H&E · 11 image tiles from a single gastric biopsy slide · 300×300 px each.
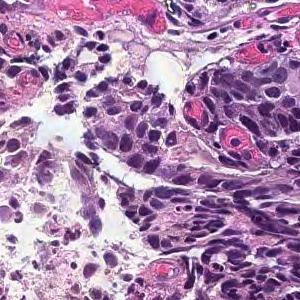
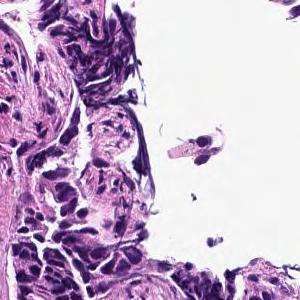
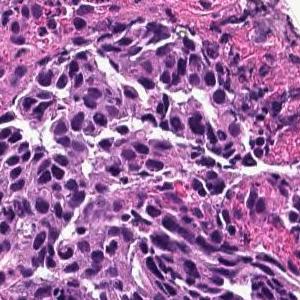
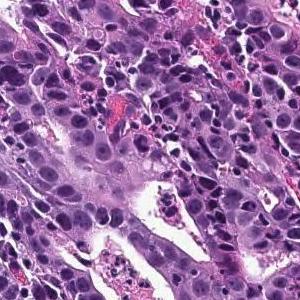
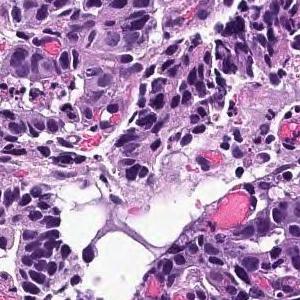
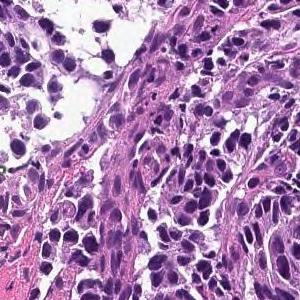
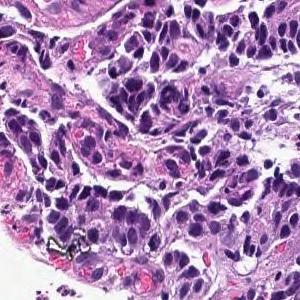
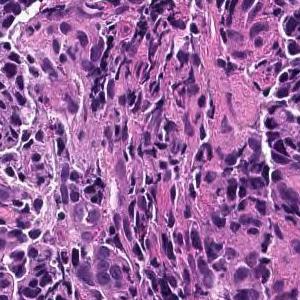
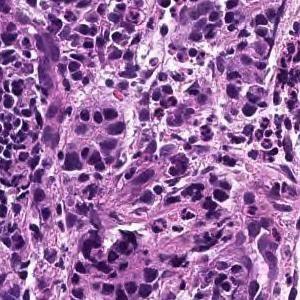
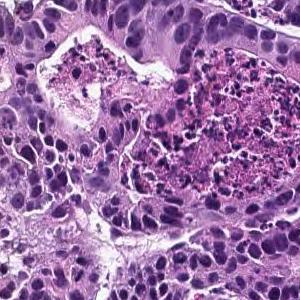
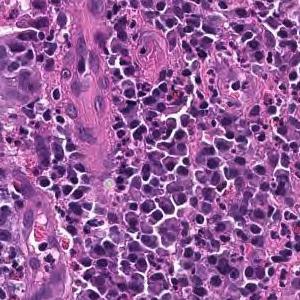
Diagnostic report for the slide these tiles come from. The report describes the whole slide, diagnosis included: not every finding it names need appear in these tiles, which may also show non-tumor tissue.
In the superficial epithelium, tumor tissue that invades by forming medium-sized to small, irregular ducts is observed. moderately differentiated tubular adenocarcinoma.
